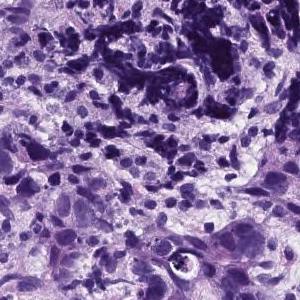
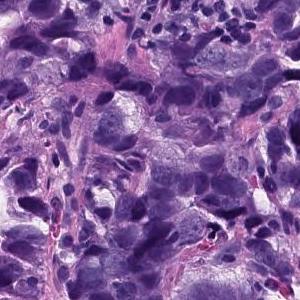
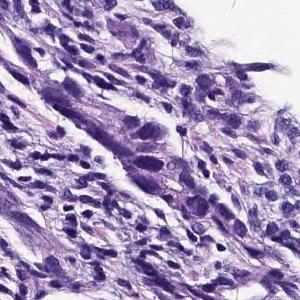
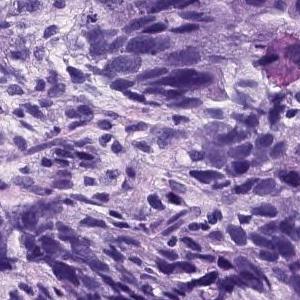
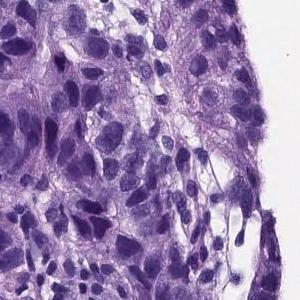
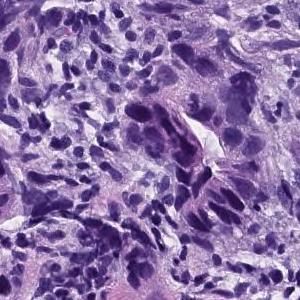
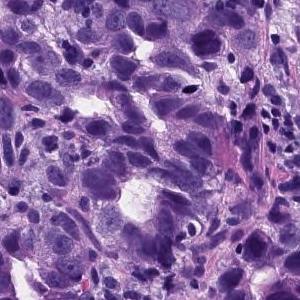
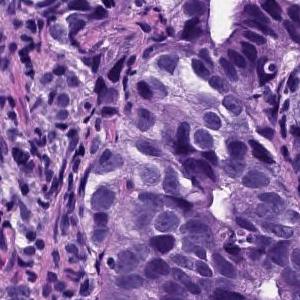
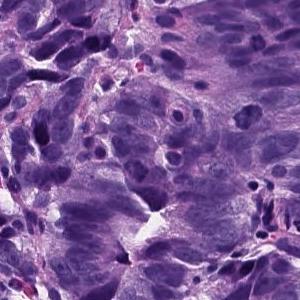
H&E, 9 tiles cut from one stomach biopsy slide.
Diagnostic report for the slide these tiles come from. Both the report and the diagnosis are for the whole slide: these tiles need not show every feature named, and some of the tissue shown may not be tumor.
In the superficial epithelium, tumor tissue that invades by forming medium-sized to small, irregular ducts is observed. Moderately differentiated adenocarcinoma.
Subtype: Moderately differentiated tubular adenocarcinoma.
